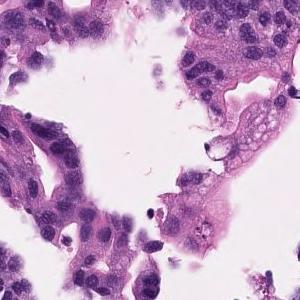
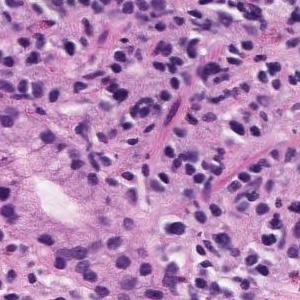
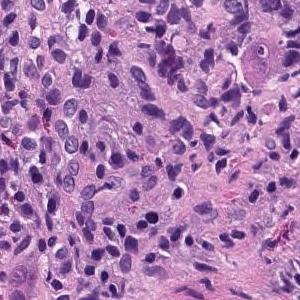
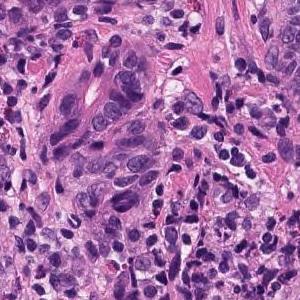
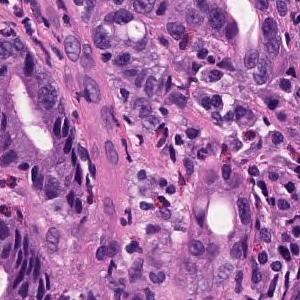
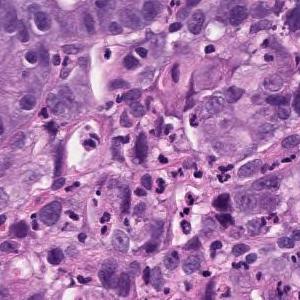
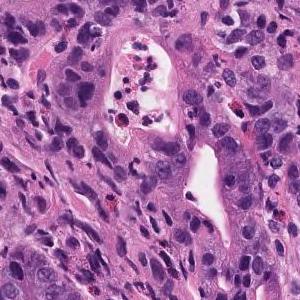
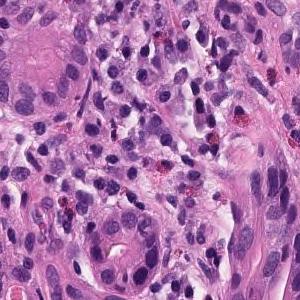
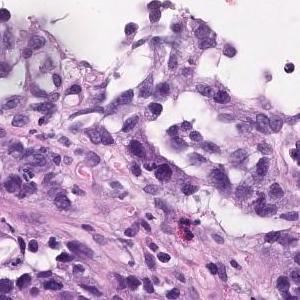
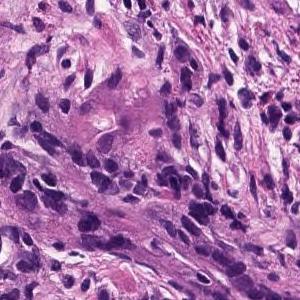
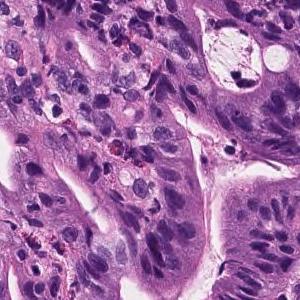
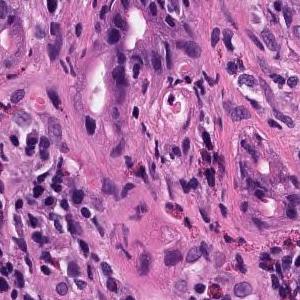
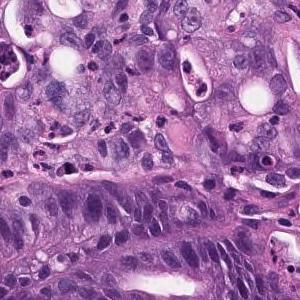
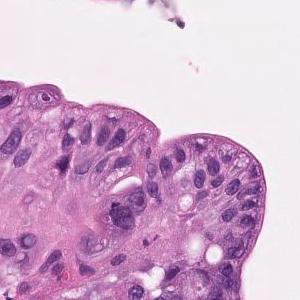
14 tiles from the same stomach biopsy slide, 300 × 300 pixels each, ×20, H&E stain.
Report on the slide these tiles come from. The report describes the whole slide, diagnosis included: not every finding it names need appear in these tiles, which may also show non-tumor tissue.
moderately differentiated tubular adenocarcinoma, Poorly differentiated adenocarcinoma
The dataset labels this slide poorly differentiated adenocarcinoma, solid type (Japanese Classification of Gastric Carcinoma). The WHO 2019 equivalent is tubular adenocarcinoma, poorly differentiated.
